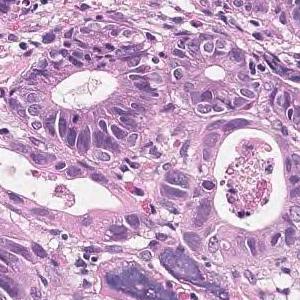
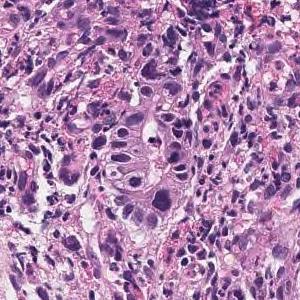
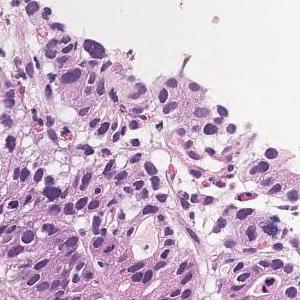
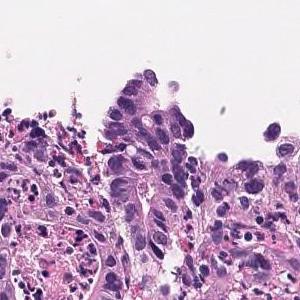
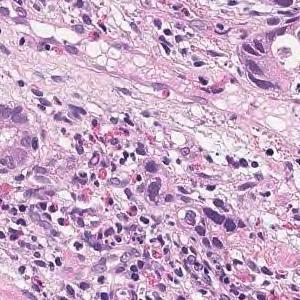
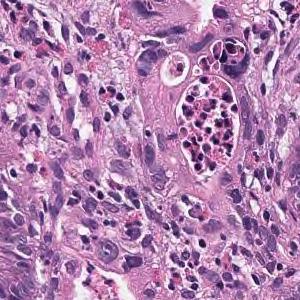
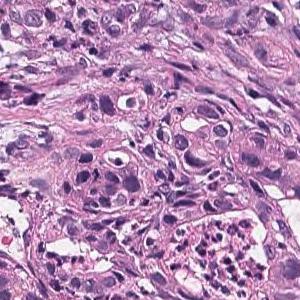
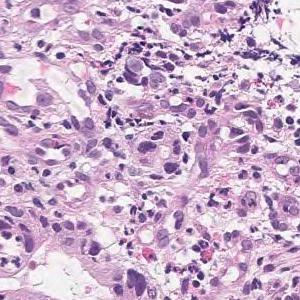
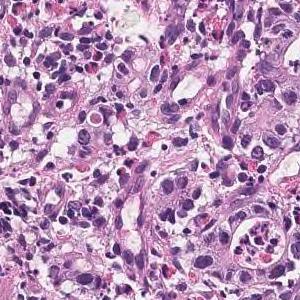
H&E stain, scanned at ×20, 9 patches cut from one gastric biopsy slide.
Pathology report for the slide these tiles were cut from. What the report and the diagnosis say applies to the whole slide; these tiles may miss some of the features named and may include tissue that is not tumor.
Tumor tissue that grows by forming glandular cavities from the superficial layer to the submucosa is observed. Well differentiated tubular adenocarcinoma
